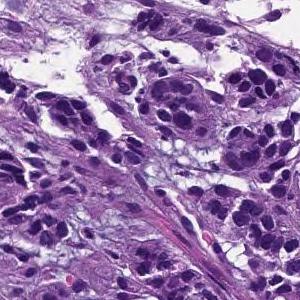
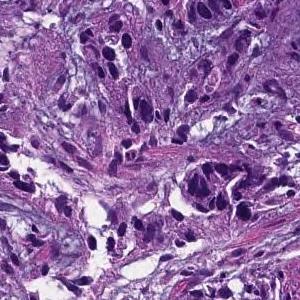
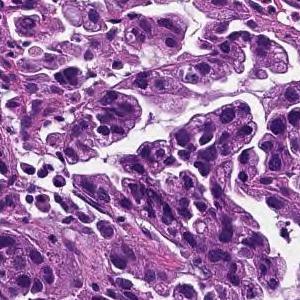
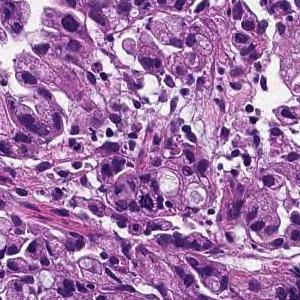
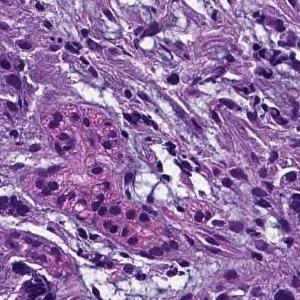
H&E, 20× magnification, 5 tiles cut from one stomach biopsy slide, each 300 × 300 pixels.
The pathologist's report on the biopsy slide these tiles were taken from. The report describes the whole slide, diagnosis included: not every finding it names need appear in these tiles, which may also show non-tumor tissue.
Tumor tissue consisting of medium-sized, cord-like or irregular glandular infiltration is observed in the superficial epithelium. Poorly differentiated adenocarcinoma, non-solid type or moderately differentiated tubular adenocarcinoma
Histological subtype: Moderately to poorly differentiated adenocarcinoma.
The non-solid type named here is a Japanese Classification of Gastric Carcinoma category.
